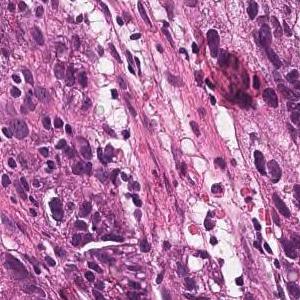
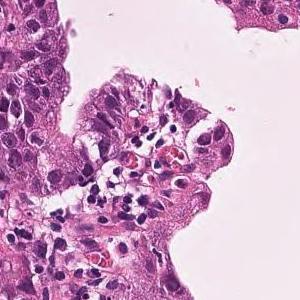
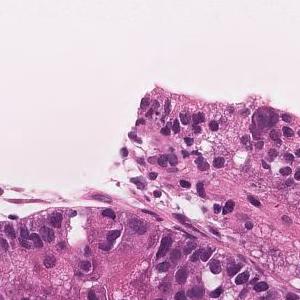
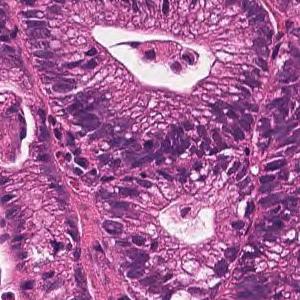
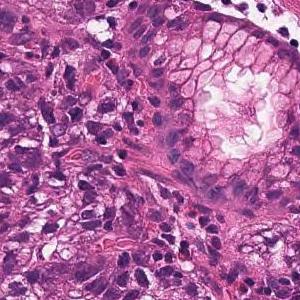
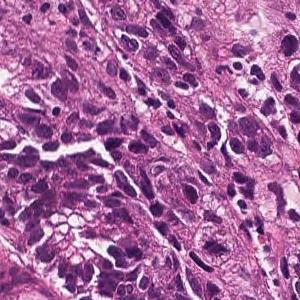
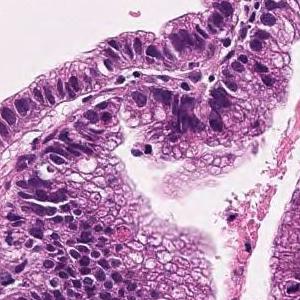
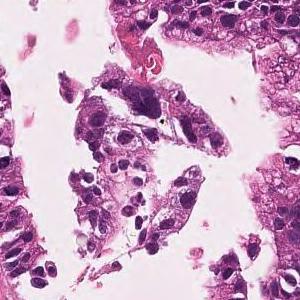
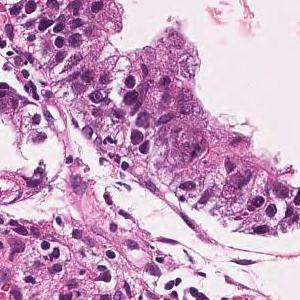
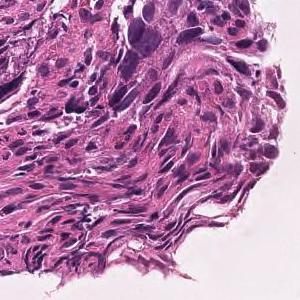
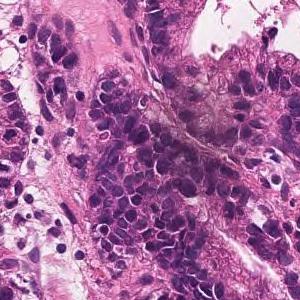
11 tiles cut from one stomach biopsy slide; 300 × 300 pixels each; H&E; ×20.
Pathology report for the slide these tiles were cut from. The report describes the whole slide, diagnosis included: not every finding it names need appear in these tiles, which may also show non-tumor tissue.
On the superficial epithelium, tumor tissue consisting of large, irregular glandular ducts partially fused and infiltrated is observed. Well to moderately differentiated tubular adenocarcinoma (well differentiated tubular adenocarcinoma, moderately differentiated tubular adenocarcinoma)
Histological subtype: Well to moderately differentiated tubular adenocarcinoma.
